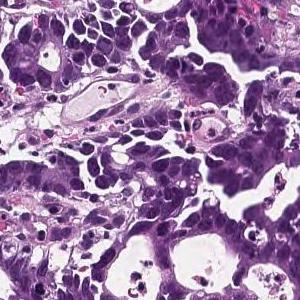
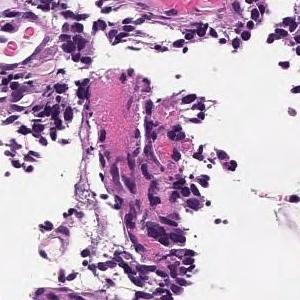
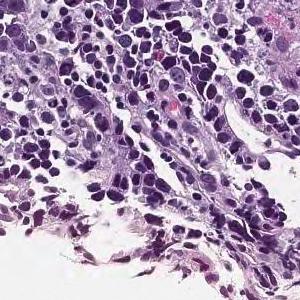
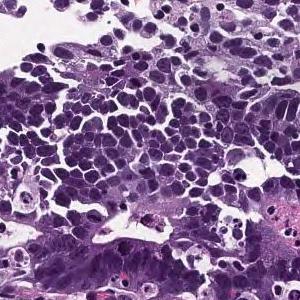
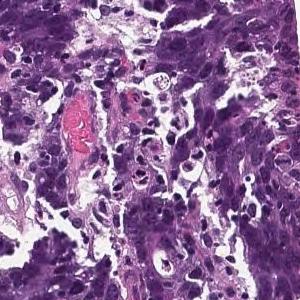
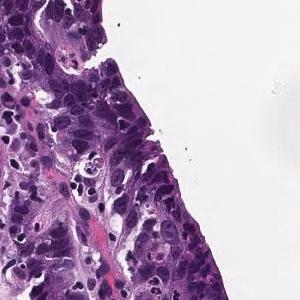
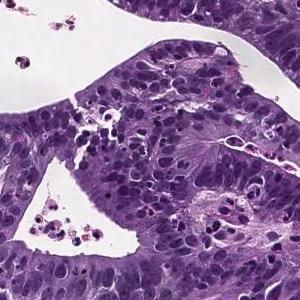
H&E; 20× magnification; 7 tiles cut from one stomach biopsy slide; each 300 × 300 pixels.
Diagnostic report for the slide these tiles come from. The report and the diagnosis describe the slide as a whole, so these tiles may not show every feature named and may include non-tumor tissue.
On the superficial epithelium, tumor tissue is found in which medium-sized irregular gland ducts fuse with each other and infiltrate. moderately differentiated tubular adenocarcinoma
